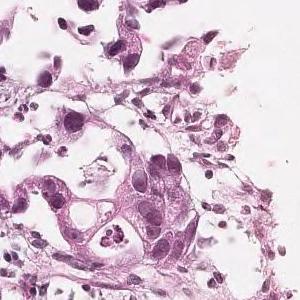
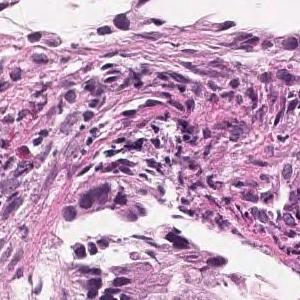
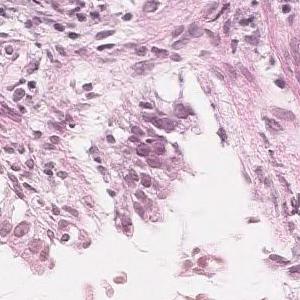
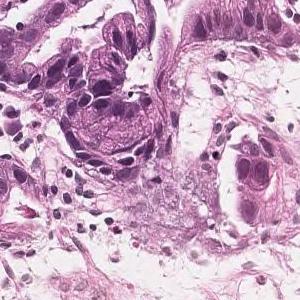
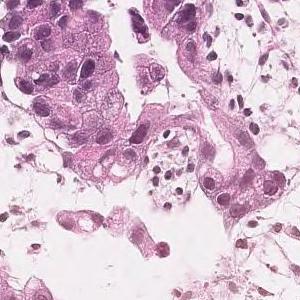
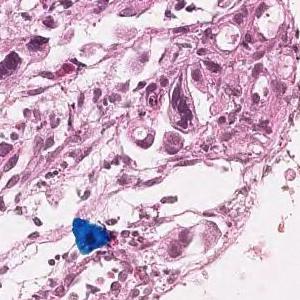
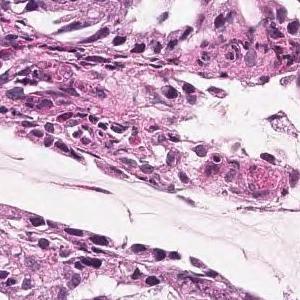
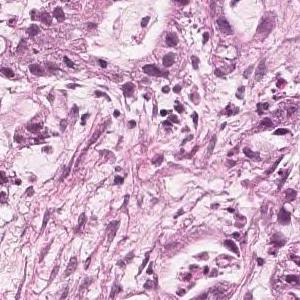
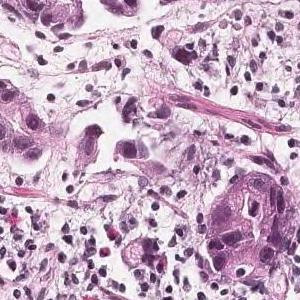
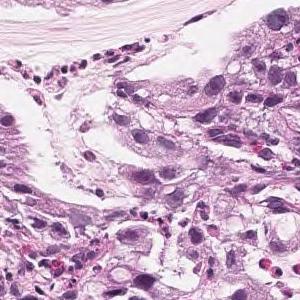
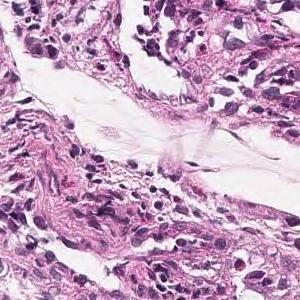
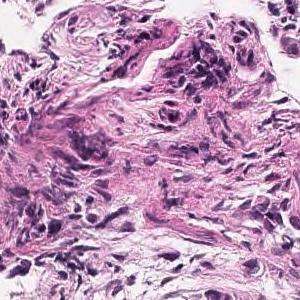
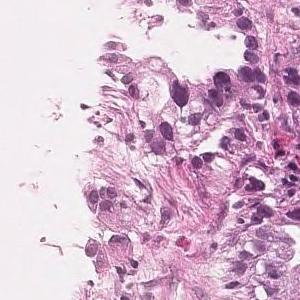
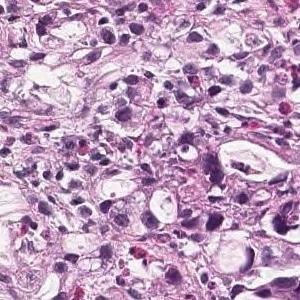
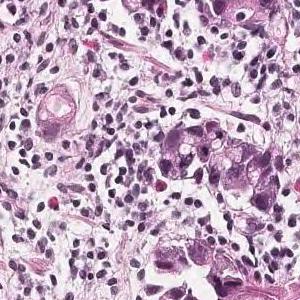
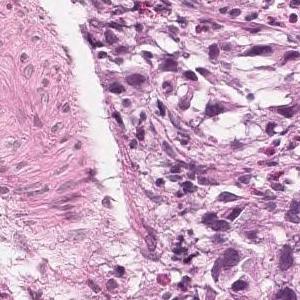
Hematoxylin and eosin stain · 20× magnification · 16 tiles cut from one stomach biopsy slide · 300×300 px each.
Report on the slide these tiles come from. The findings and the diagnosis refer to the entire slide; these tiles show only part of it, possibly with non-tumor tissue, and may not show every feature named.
Tumor tissue consisting of medium-sized, cord-like or irregular glandular infiltration is observed in the superficial epithelium. Poorly differentiated adenocarcinoma, non-solid type or moderately differentiated tubular adenocarcinoma
"Non-solid type" is a category of the Japanese Classification of Gastric Carcinoma.
